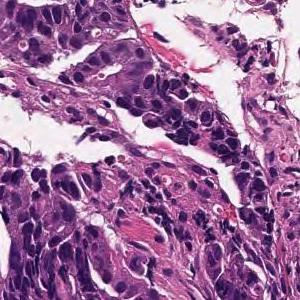
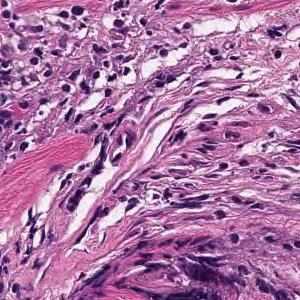
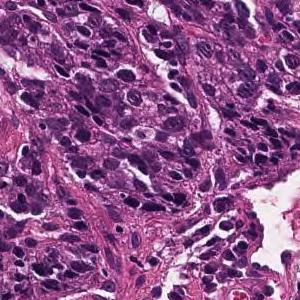
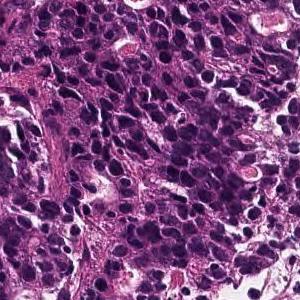
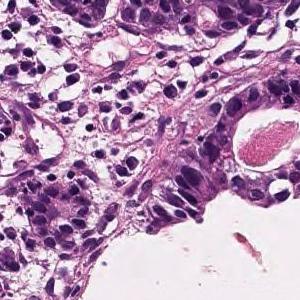
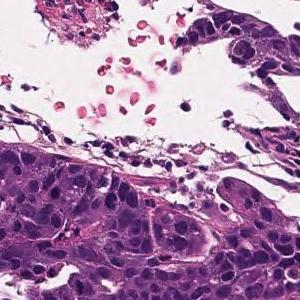
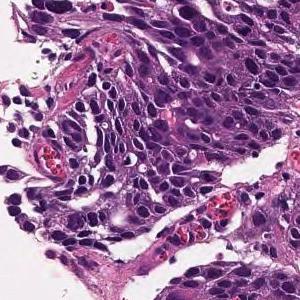
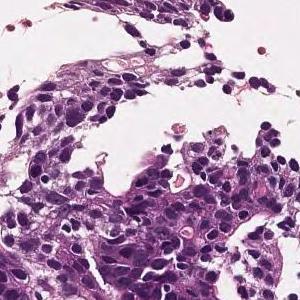
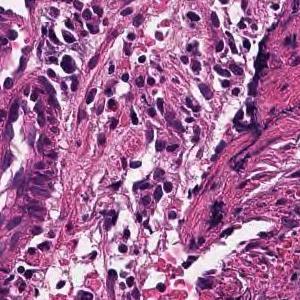
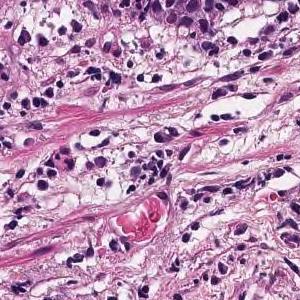
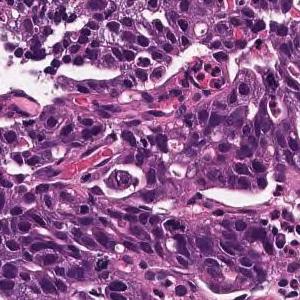
11 image tiles from a single gastric biopsy slide; H&E; ×20.
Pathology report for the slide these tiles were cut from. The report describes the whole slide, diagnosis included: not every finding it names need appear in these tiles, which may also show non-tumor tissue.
Medium to small, irregular glandular ducts are formed in the superficial epithelium, and in some cases, the glandular ducts are fused to show solid alveolar lesions and infiltrating tumor tissue is observed. Moderately to poorly differentiated adenocarcinoma.
